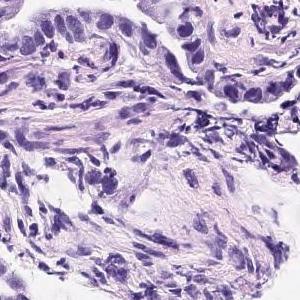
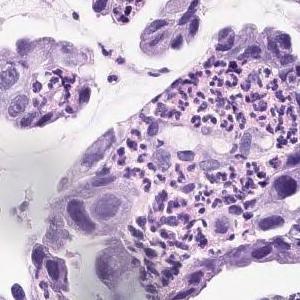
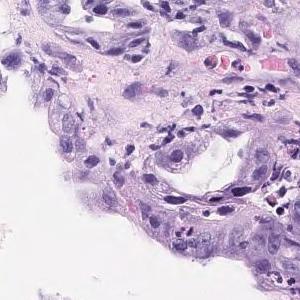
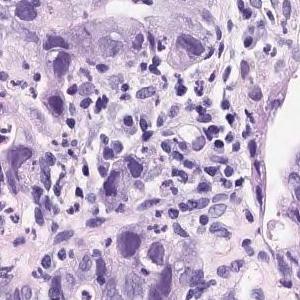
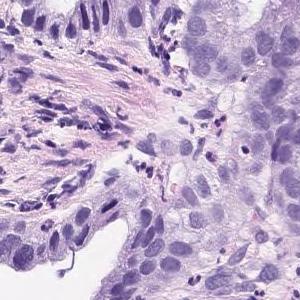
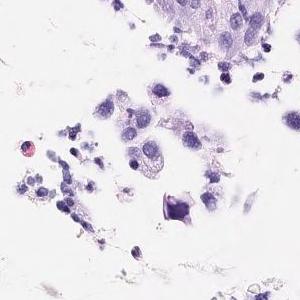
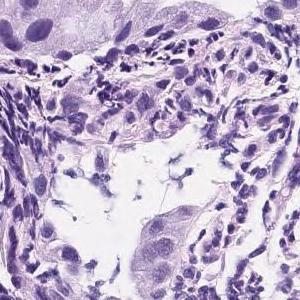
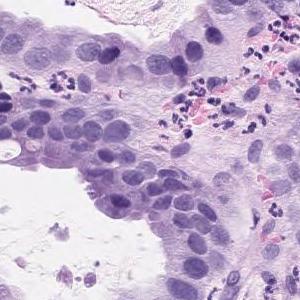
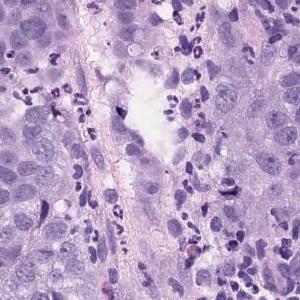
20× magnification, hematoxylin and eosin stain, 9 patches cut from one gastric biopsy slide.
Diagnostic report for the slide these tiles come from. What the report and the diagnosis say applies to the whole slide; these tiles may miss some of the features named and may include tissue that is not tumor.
Atypical l cells with atypical nuclei forming solid or diffuse vesicles or small irregular atypical ducts and growing in a complex manner. Well differentiated tubular adenocarcinoma
